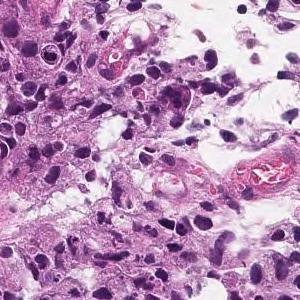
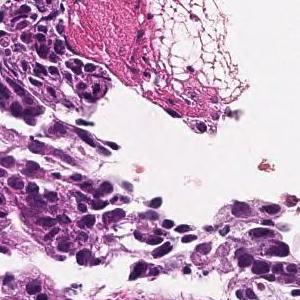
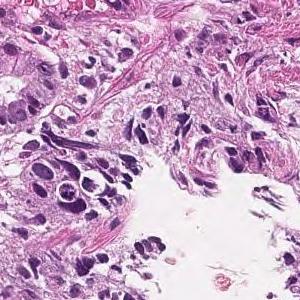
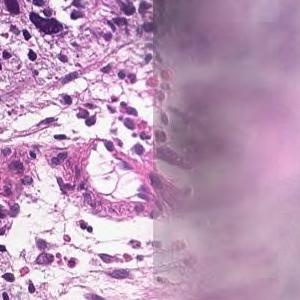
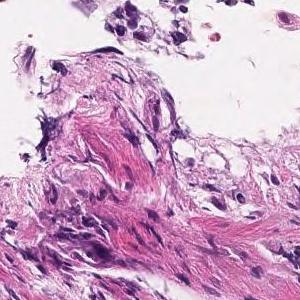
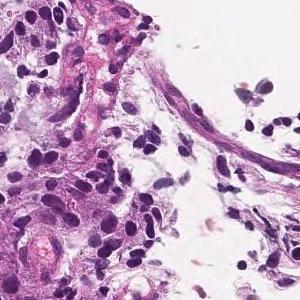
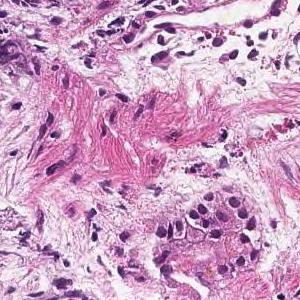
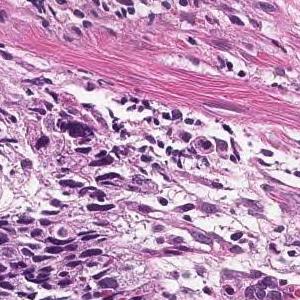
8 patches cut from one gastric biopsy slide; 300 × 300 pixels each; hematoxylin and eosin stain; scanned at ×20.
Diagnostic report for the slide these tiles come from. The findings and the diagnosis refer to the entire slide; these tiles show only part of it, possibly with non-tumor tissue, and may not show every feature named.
In the superficial epithelium, tumor tissue that invades by forming medium-sized to small, irregular ducts is observed. moderately differentiated tubular adenocarcinoma.
